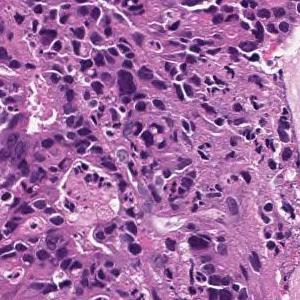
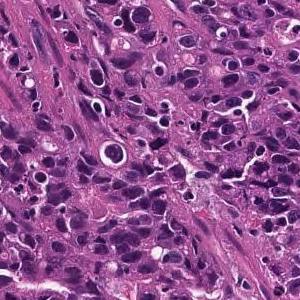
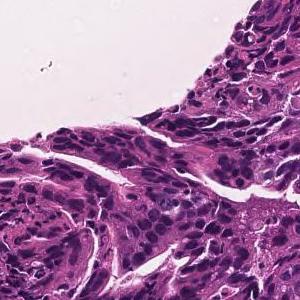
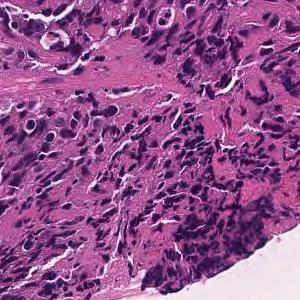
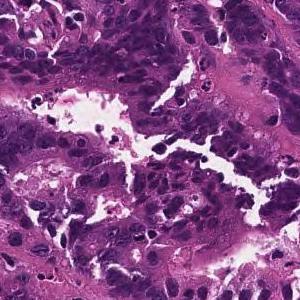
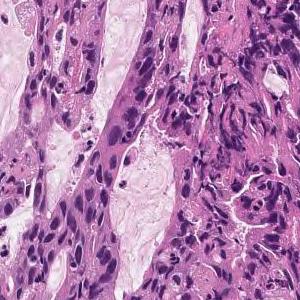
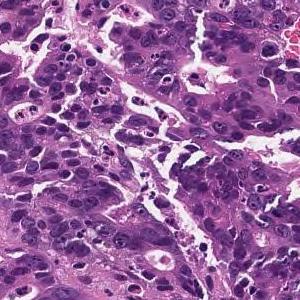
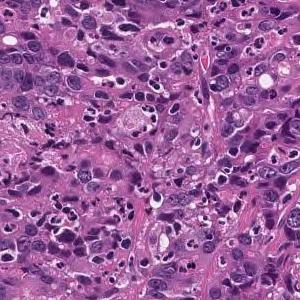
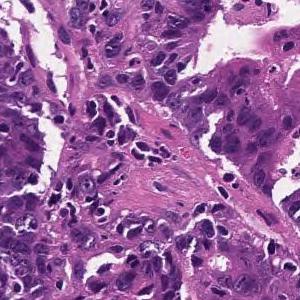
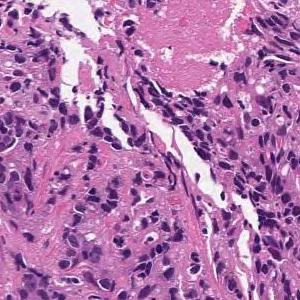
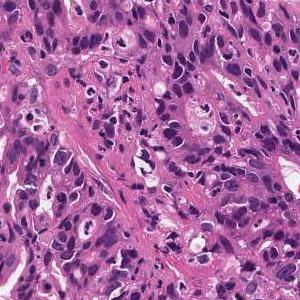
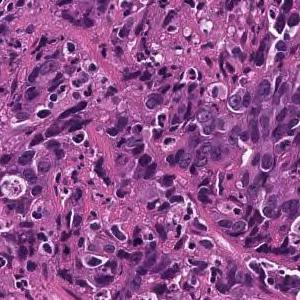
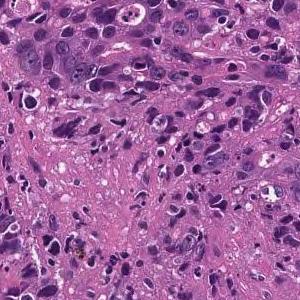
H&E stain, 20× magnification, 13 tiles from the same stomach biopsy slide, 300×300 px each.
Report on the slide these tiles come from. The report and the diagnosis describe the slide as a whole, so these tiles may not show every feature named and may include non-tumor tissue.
In the superficial epithelium, tumor tissue that invades by forming medium-sized to small, irregular ducts is observed. moderately differentiated tubular adenocarcinoma.
